Hematoxylin and eosin stain · 4 image tiles from a single gastric biopsy slide · each 300 × 300 pixels.
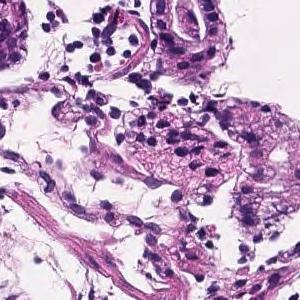
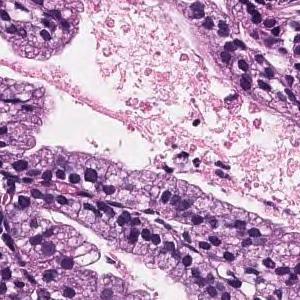
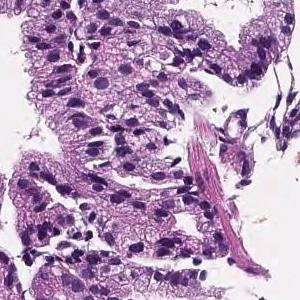
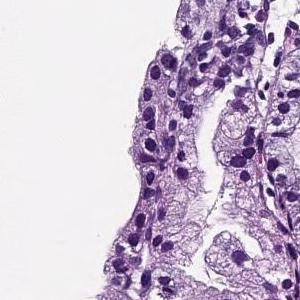
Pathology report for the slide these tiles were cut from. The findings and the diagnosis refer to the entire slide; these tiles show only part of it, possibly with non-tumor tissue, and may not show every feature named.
In the superficial epithelium, tumor tissue that infiltrates by forming medium-sized papillary or small irregular ducts is observed. Papillary adenocarcinoma
